Scanned at ×20; 16 tiles from the same stomach biopsy slide; 300 × 300 pixels each.
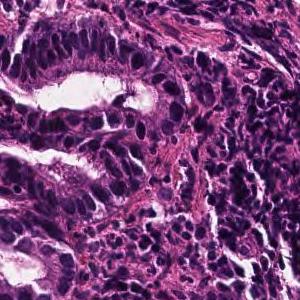
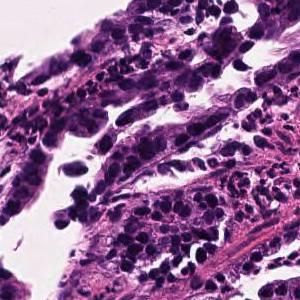
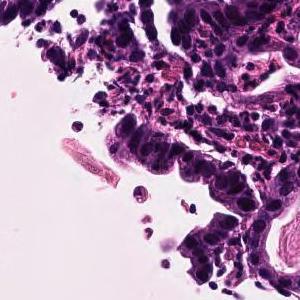
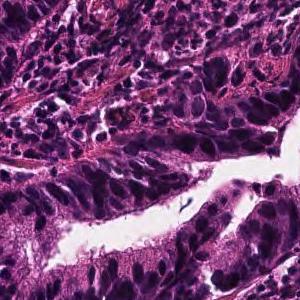
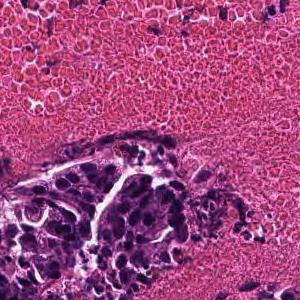
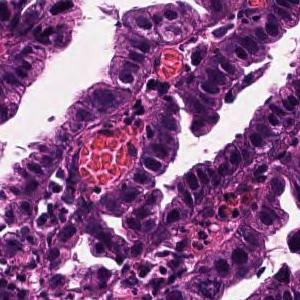
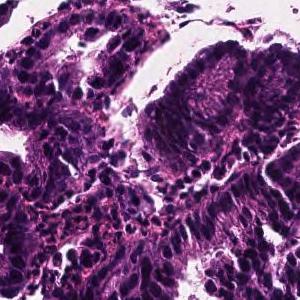
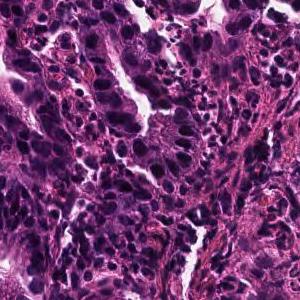
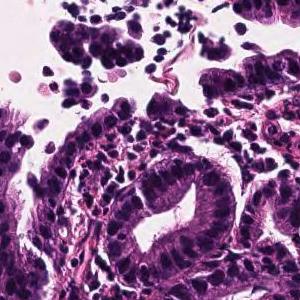
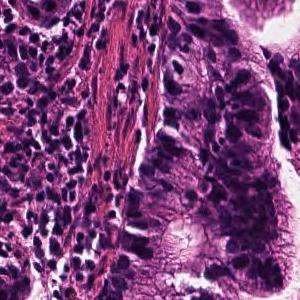
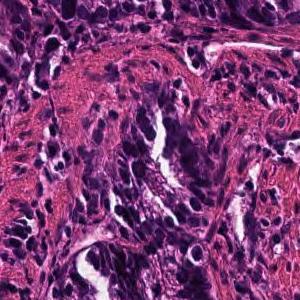
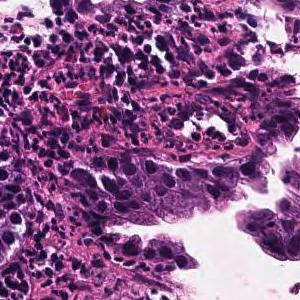
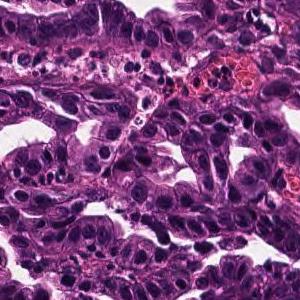
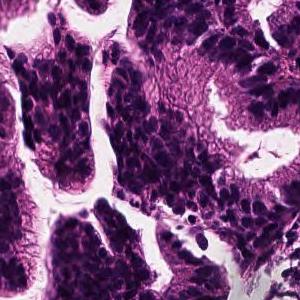
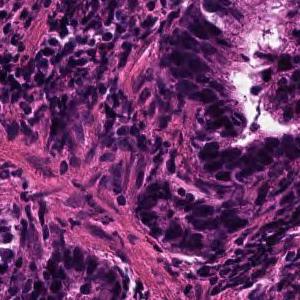
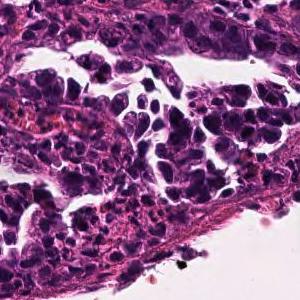
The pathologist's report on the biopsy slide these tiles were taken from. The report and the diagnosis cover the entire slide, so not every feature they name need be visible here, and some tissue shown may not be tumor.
Tumor tissue consisting of large papillary structures is found in the superficial epithelium. Papillary adenocarcinoma.
